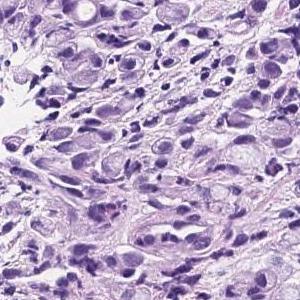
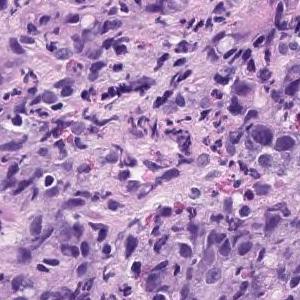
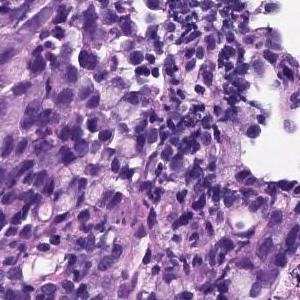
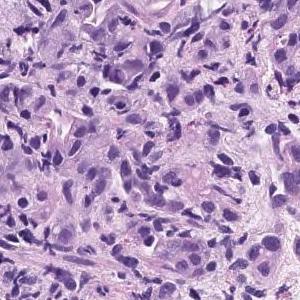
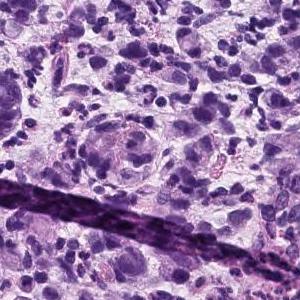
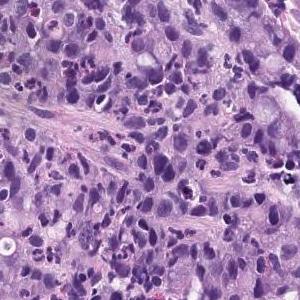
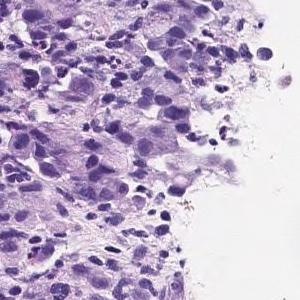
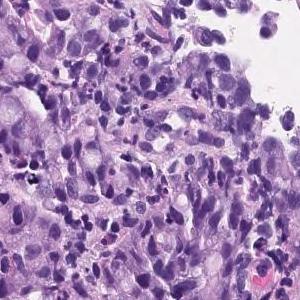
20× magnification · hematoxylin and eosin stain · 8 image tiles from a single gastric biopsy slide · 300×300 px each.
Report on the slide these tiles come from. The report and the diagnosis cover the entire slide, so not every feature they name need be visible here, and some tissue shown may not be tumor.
Diffusely growing signet-ring cells are found in the lamina propria. Signet ring cell carcinoma.
